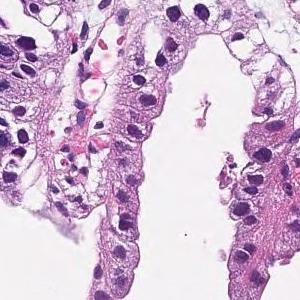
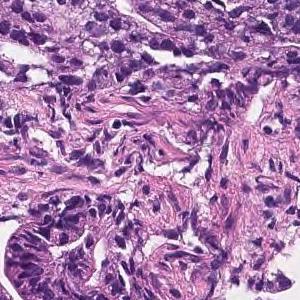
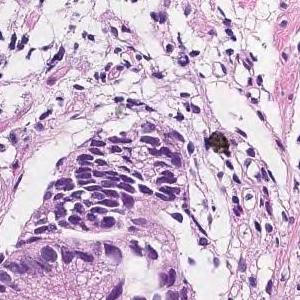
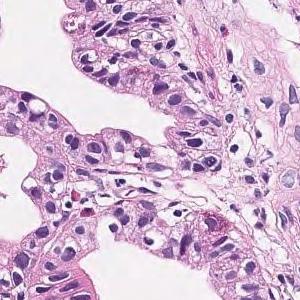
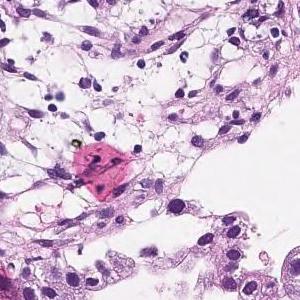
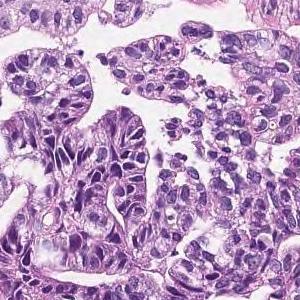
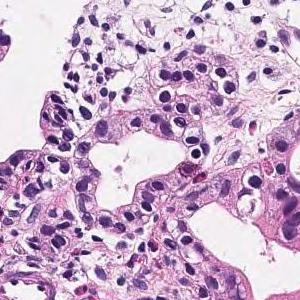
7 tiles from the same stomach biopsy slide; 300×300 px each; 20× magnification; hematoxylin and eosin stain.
Diagnostic report for the slide these tiles come from. The report describes the whole slide, diagnosis included: not every finding it names need appear in these tiles, which may also show non-tumor tissue.
In the superficial epithelium, tumor tissue that invades by forming medium-sized to small, irregular ducts is observed. Moderately differentiated adenocarcinoma.
Histologic type: Moderately differentiated tubular adenocarcinoma.
